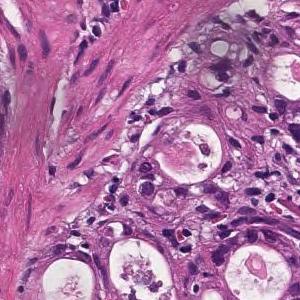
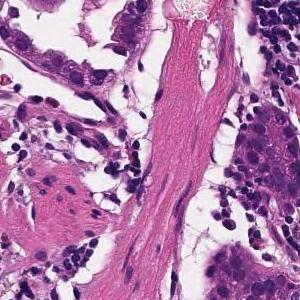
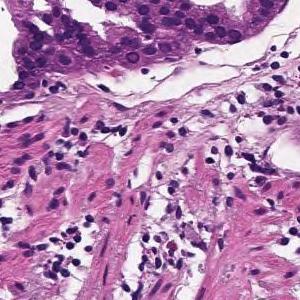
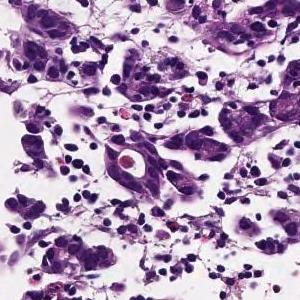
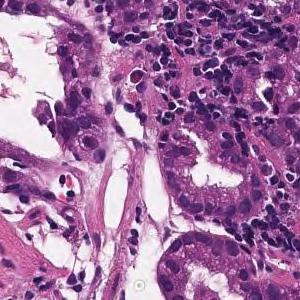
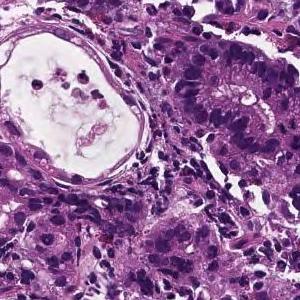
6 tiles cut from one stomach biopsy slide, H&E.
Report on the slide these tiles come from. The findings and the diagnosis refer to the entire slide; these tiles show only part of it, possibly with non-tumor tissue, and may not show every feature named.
Tumor tissue consisting of medium-sized, cord-like or irregular glandular infiltration is observed in the superficial epithelium. Poorly differentiated adenocarcinoma, non-solid type or moderately differentiated tubular adenocarcinoma
Classified as moderately to poorly differentiated adenocarcinoma.
The term "non-solid type" comes from the Japanese Classification of Gastric Carcinoma.
